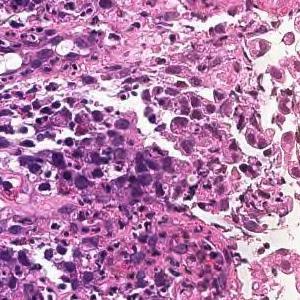
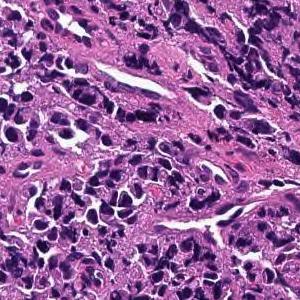
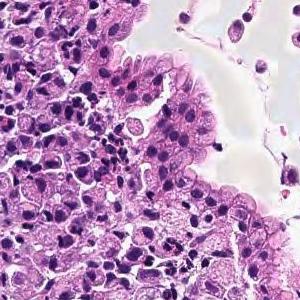
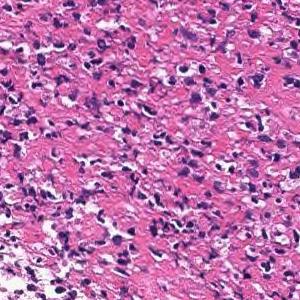
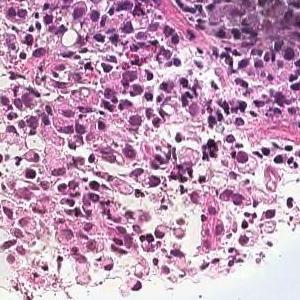
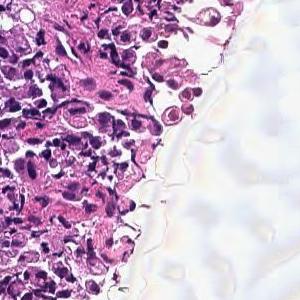
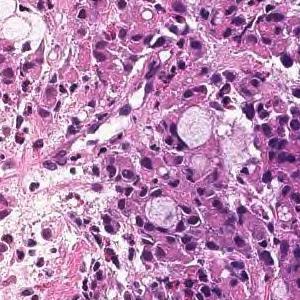
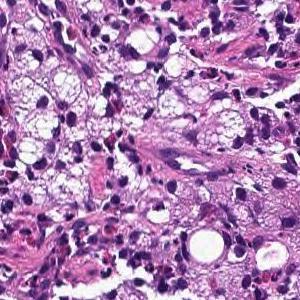
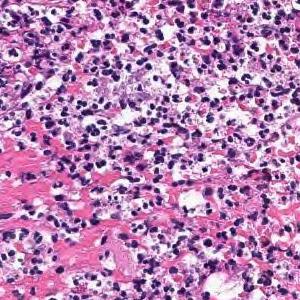
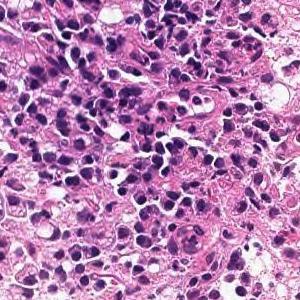
10 tiles cut from one stomach biopsy slide · H&E stain.
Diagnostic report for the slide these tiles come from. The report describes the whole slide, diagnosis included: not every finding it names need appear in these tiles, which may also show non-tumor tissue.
Tumor tissue consisting of diffusely infiltrated large atypical epithelial cells or signet ring atypical cells is observed in the superficial epithelium. Poorly differentiated adenocarcinoma, solid-type
Tumor subtype: poorly differentiated adenocarcinoma, solid type, a category of the Japanese Classification of Gastric Carcinoma; in the WHO 2019 classification it is tubular adenocarcinoma, poorly differentiated.
